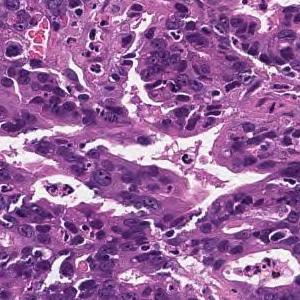
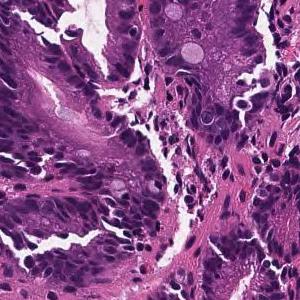
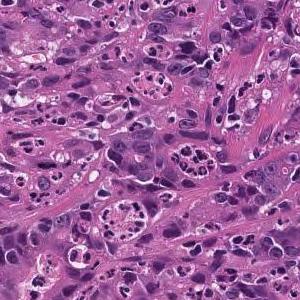
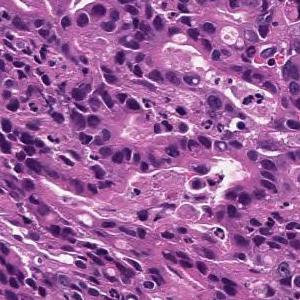
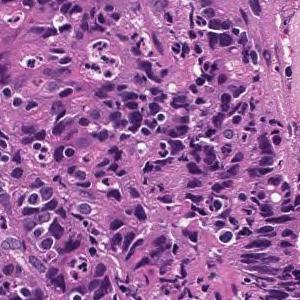
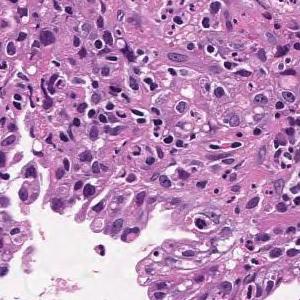
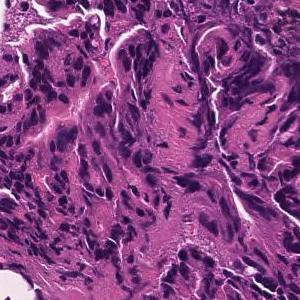
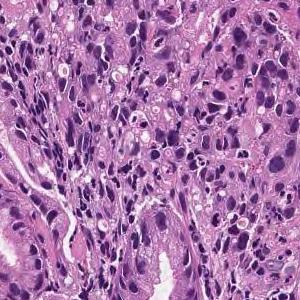
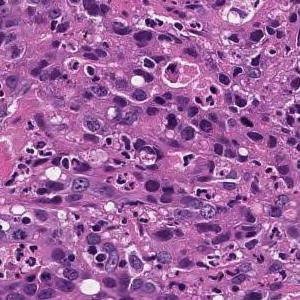
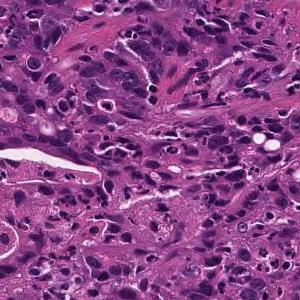
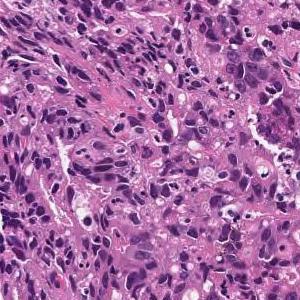
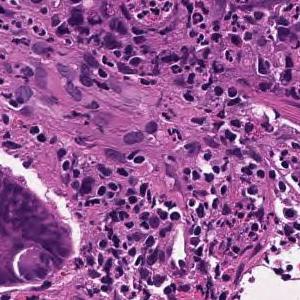
12 image tiles from a single gastric biopsy slide, ×20, H&E stain.
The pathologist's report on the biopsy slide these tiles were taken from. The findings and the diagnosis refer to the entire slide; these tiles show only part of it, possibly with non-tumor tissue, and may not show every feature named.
In the superficial epithelium, tumor tissue that invades by forming medium-sized to small, irregular ducts is observed. moderately differentiated tubular adenocarcinoma.
